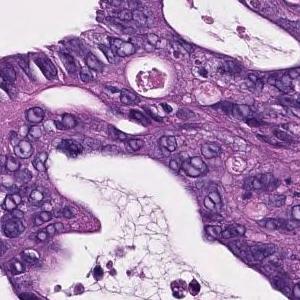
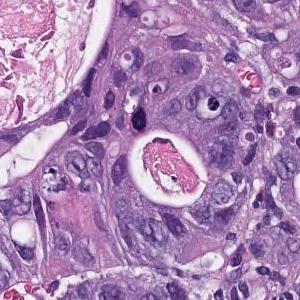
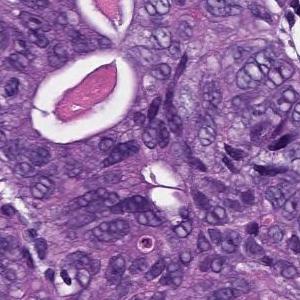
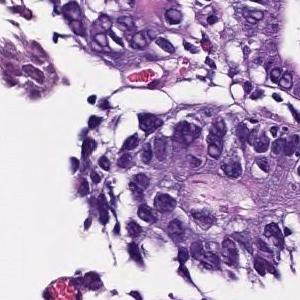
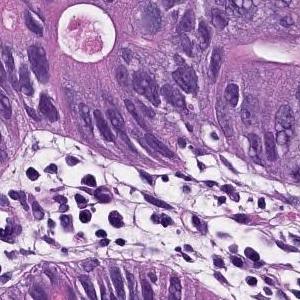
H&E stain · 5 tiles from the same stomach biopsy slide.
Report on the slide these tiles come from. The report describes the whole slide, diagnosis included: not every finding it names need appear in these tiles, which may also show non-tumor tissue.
In the superficial epithelium, tumor tissue that invades by forming medium-sized to small, irregular ducts is observed. moderately differentiated tubular adenocarcinoma.
